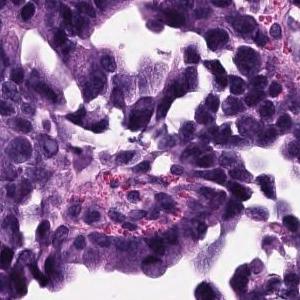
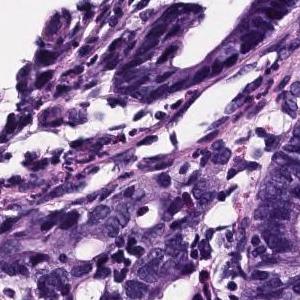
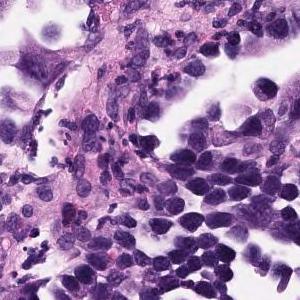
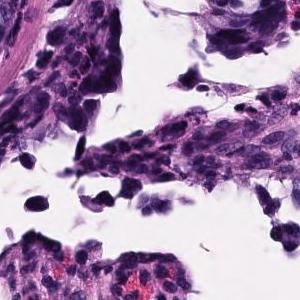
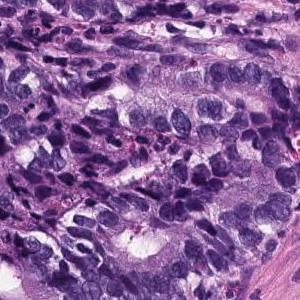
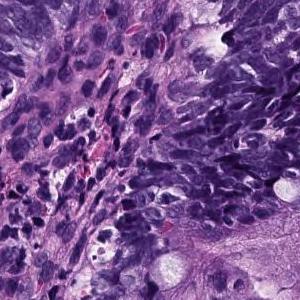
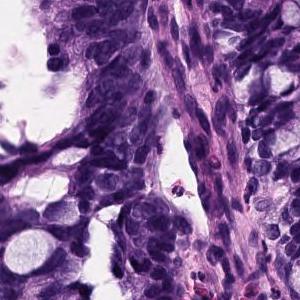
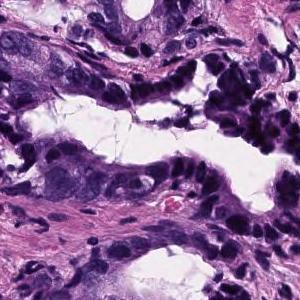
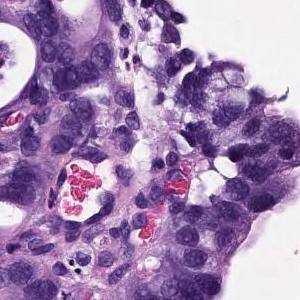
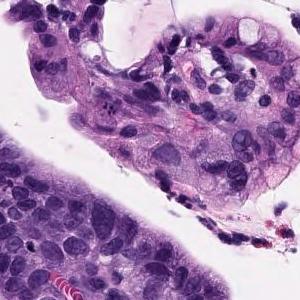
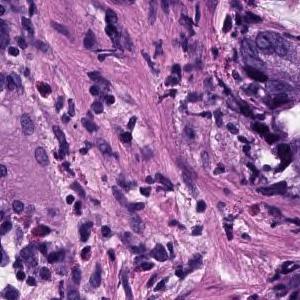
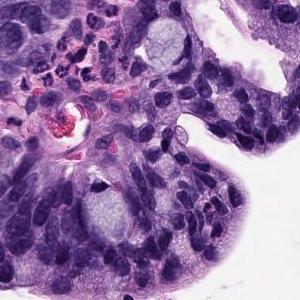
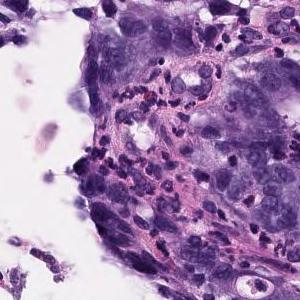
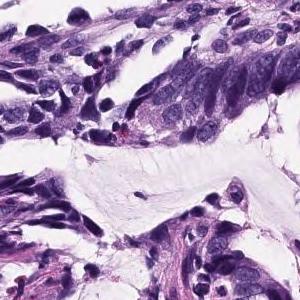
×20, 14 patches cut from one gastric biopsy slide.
The pathologist's report on the biopsy slide these tiles were taken from. Both the report and the diagnosis are for the whole slide: these tiles need not show every feature named, and some of the tissue shown may not be tumor.
Atypical epithelium proliferating showing villus construction and irregular gland duct construction is observed. Moderately differentiated tubular adenocarcinoma.
